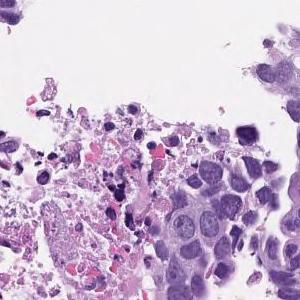
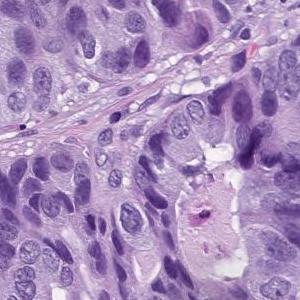
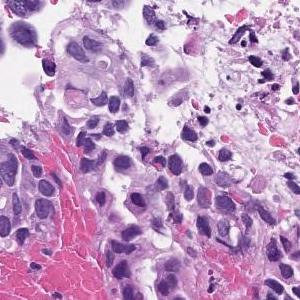
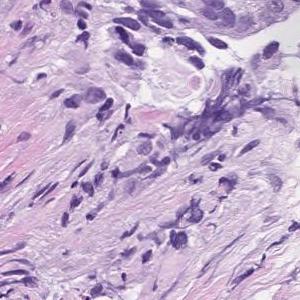
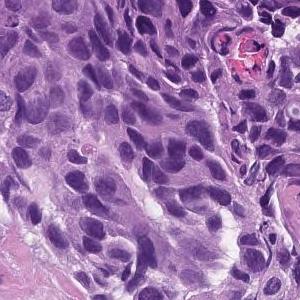
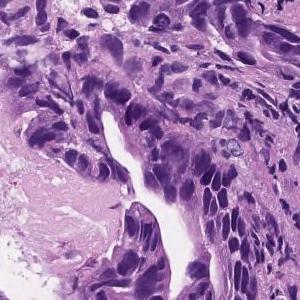
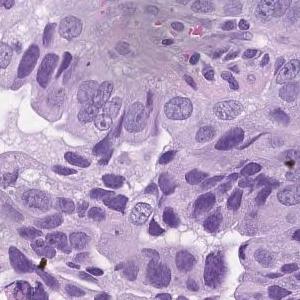
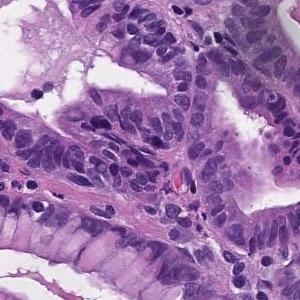
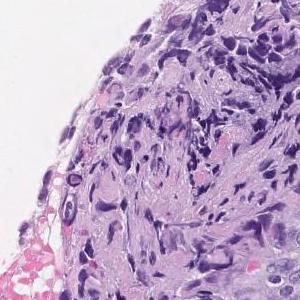
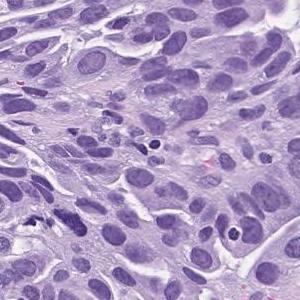
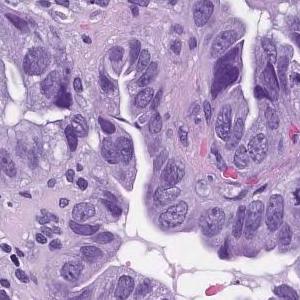
×20 · hematoxylin and eosin stain · 11 patches cut from one gastric biopsy slide · each 300 × 300 pixels.
Report on the slide these tiles come from. The report describes the whole slide, diagnosis included: not every finding it names need appear in these tiles, which may also show non-tumor tissue.
In the superficial epithelium, tumor tissue that invades by forming medium-sized to small, irregular ducts is observed. moderately differentiated tubular adenocarcinoma.
